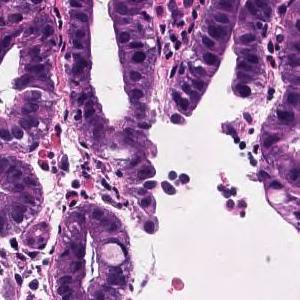
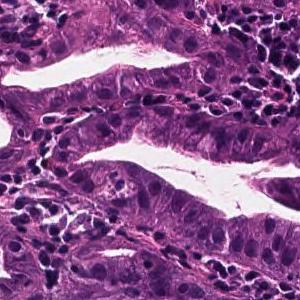
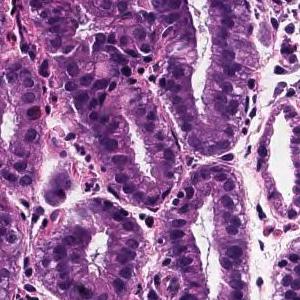
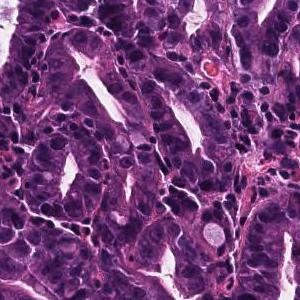
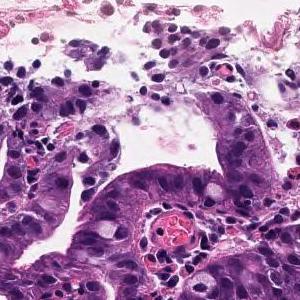
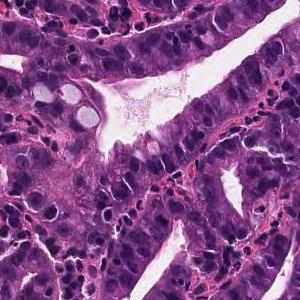
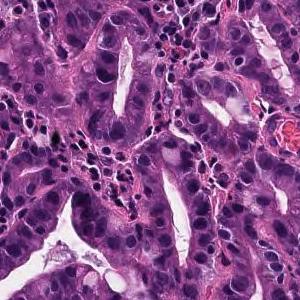
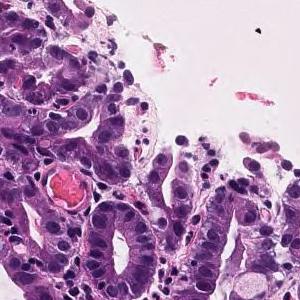
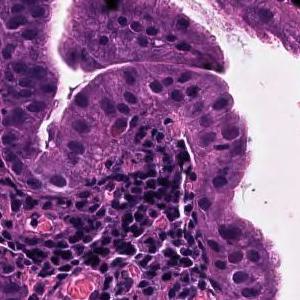
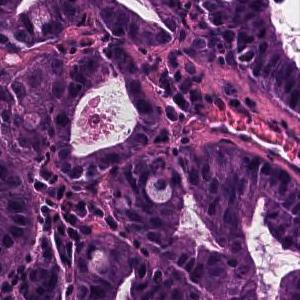
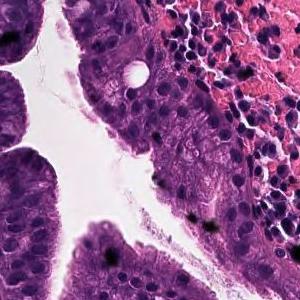
11 image tiles from a single gastric biopsy slide; hematoxylin and eosin stain; scanned at ×20.
Pathology report for the slide these tiles were cut from. What the report and the diagnosis say applies to the whole slide; these tiles may miss some of the features named and may include tissue that is not tumor.
Atypical tubular proliferation of well to moderately differentiated gastric gland with hyperchromatic nuclei and high N:C ratio. Mitotic figures were also present. These histological findings were suggestive of well to moderately differentiated tubular adenocarcinoma (well differentiated tubular adenocarcinoma, moderately differentiated tubular adenocarcinoma).
The dataset labels this slide well differentiated tubular adenocarcinoma.
